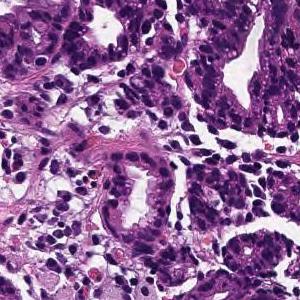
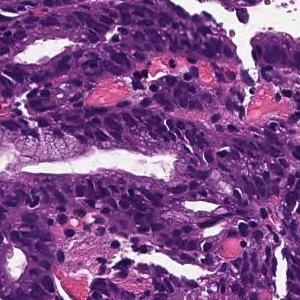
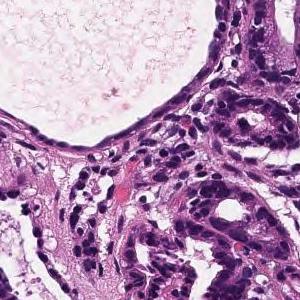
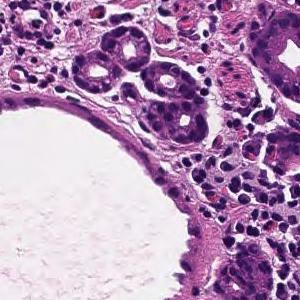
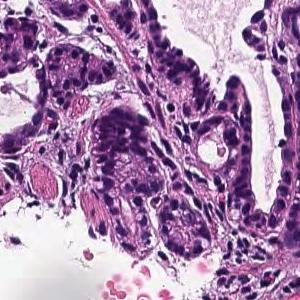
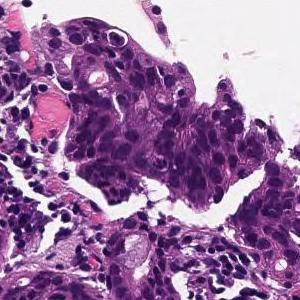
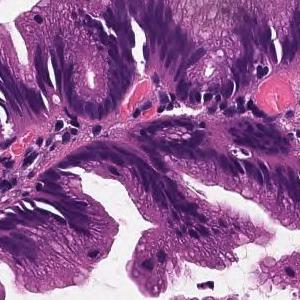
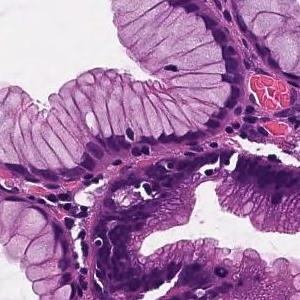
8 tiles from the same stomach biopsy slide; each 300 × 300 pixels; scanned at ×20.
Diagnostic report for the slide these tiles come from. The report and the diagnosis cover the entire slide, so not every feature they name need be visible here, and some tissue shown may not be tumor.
Cells with elliptical or atypical nuclei form dense ducts with relatively clear growth. Well differentiated tubular adenocarcinoma
